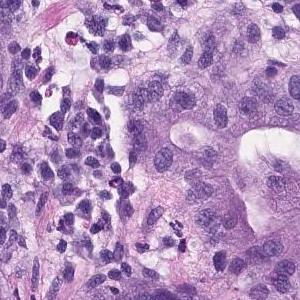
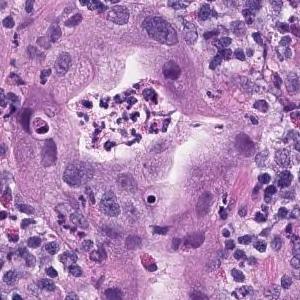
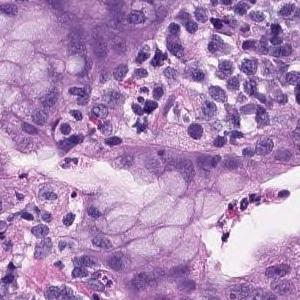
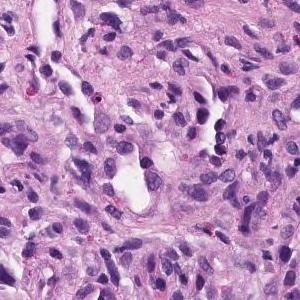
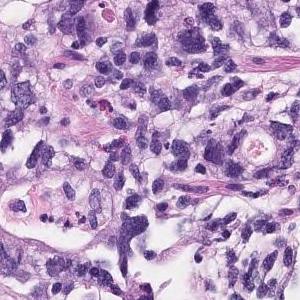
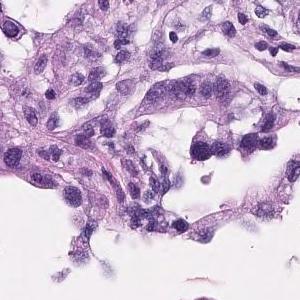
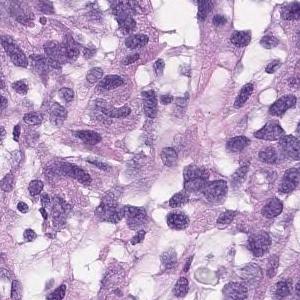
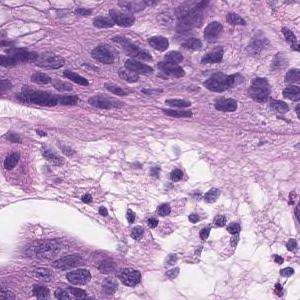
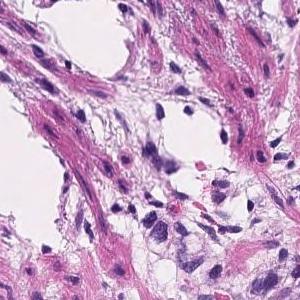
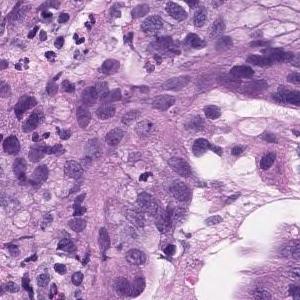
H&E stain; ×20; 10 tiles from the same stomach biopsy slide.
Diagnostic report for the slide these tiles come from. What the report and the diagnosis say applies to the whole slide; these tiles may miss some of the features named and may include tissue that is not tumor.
Group 5, Adenocarcinoma. Moderately to poorly differentiated adenocarcinoma
